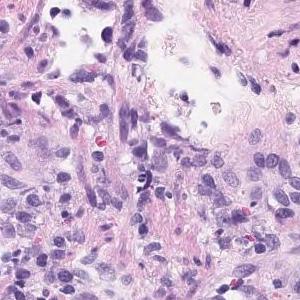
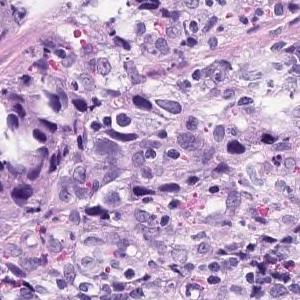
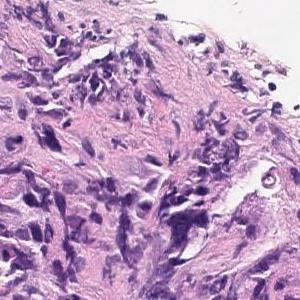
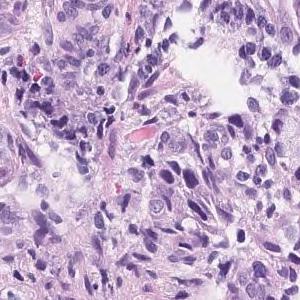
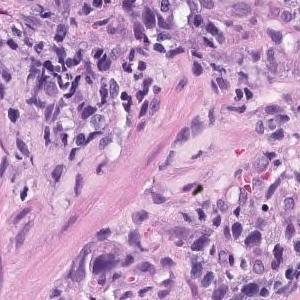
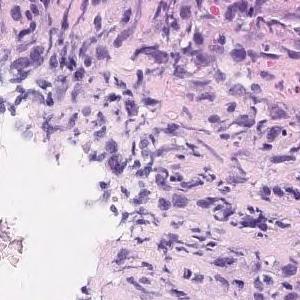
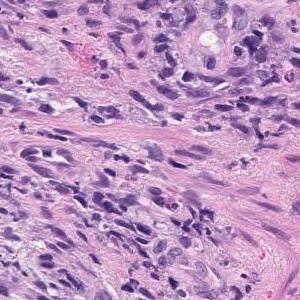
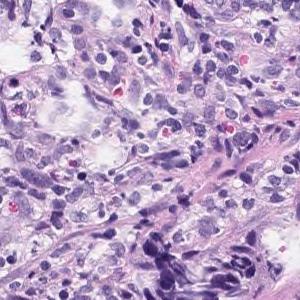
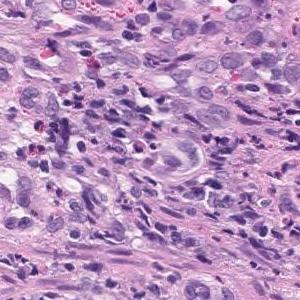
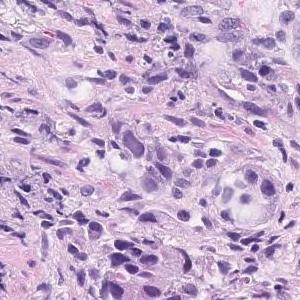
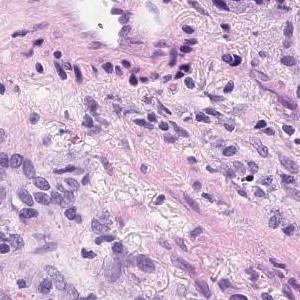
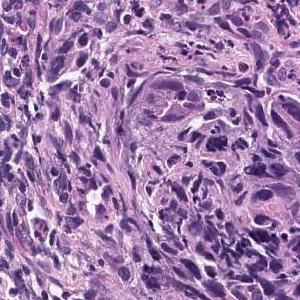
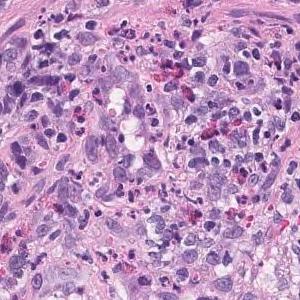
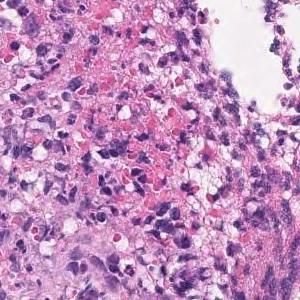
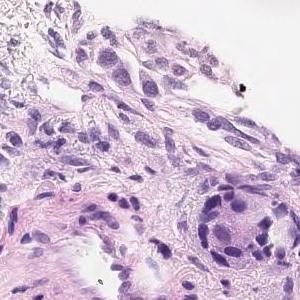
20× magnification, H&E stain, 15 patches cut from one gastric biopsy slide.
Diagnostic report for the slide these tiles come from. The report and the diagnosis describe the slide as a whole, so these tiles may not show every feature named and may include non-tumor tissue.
Group 5, Moderately differentiated adenocarcinoma
Classified as moderately differentiated tubular adenocarcinoma.
